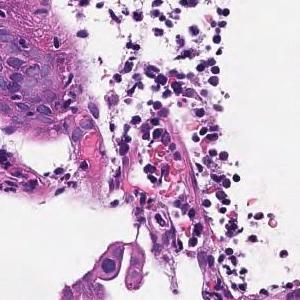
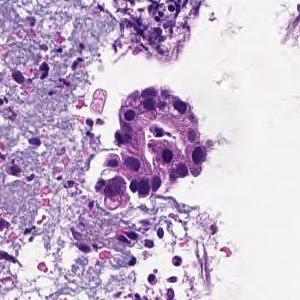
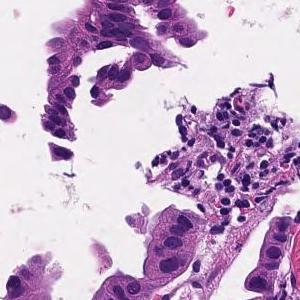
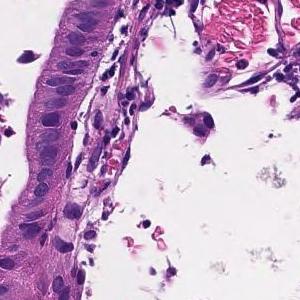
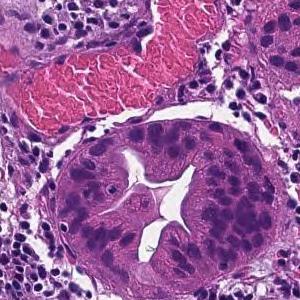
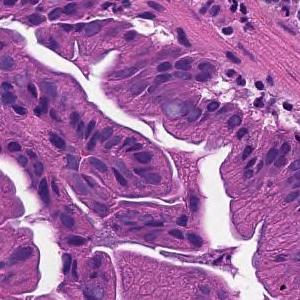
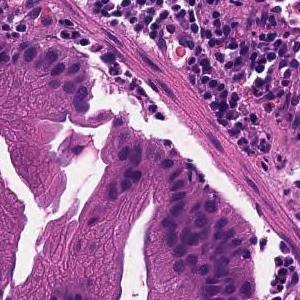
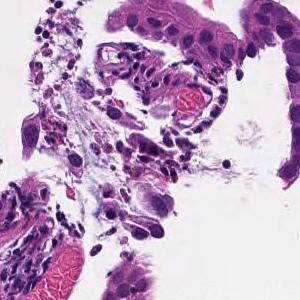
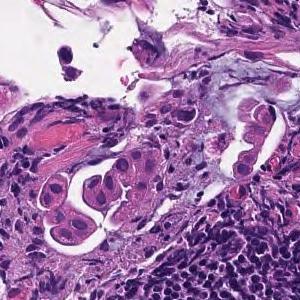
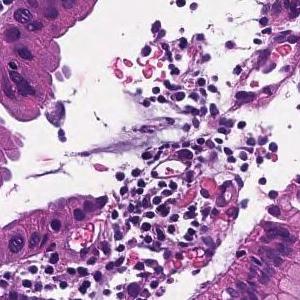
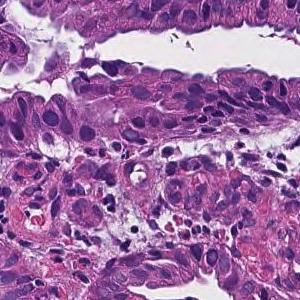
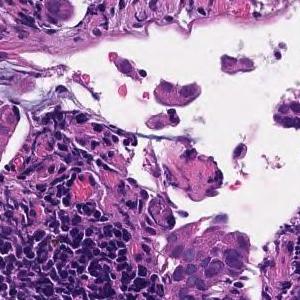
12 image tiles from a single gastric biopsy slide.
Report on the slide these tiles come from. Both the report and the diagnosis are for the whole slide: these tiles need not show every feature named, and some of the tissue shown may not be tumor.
On the superficial epithelium, tumor tissue that infiltrates by forming medium-sized papillary or small irregular ducts is observed. Papillary adenocarcinoma
